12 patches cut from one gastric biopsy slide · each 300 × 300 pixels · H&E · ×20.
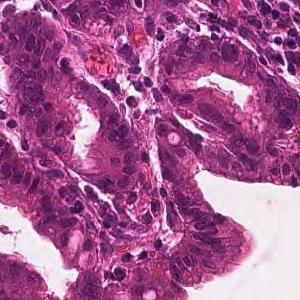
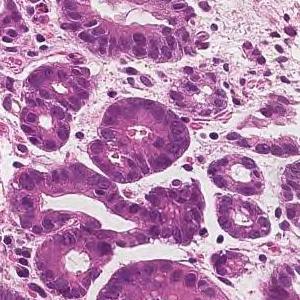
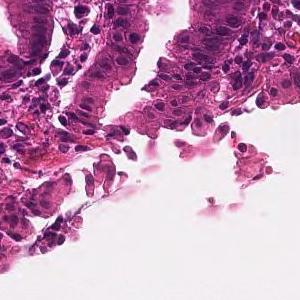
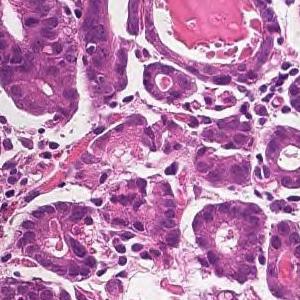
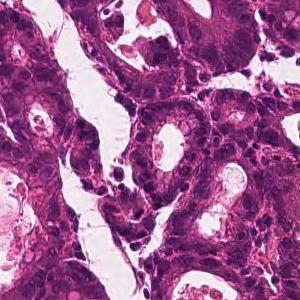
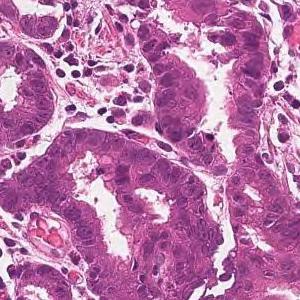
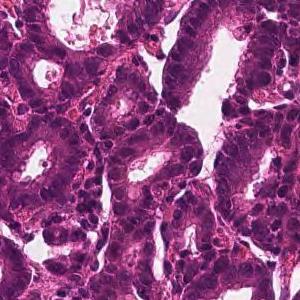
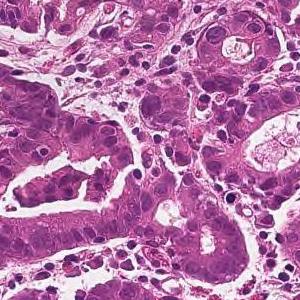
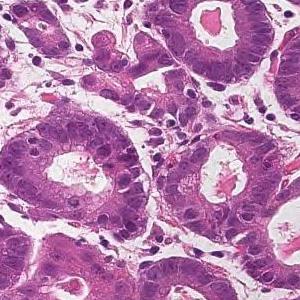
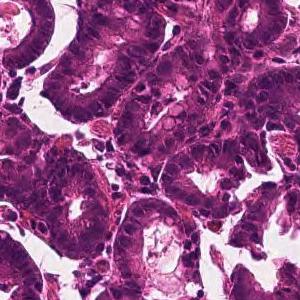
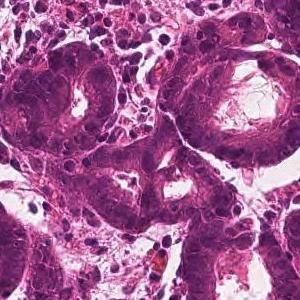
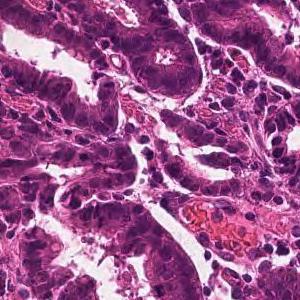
Diagnostic report for the slide these tiles come from. The report and the diagnosis describe the slide as a whole, so these tiles may not show every feature named and may include non-tumor tissue.
From the superficial epithelium to the muscularis mucosae, tumor tissue consisting of medium-sized and irregular glandular ducts infiltrating is observed. Well differentiated tubular adenocarcinoma
